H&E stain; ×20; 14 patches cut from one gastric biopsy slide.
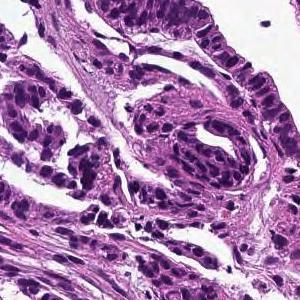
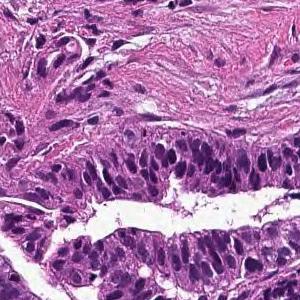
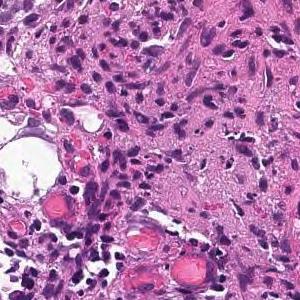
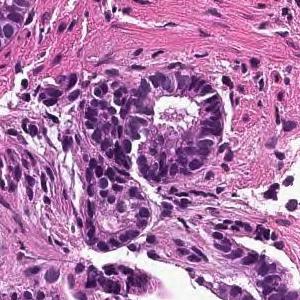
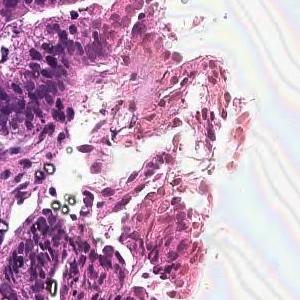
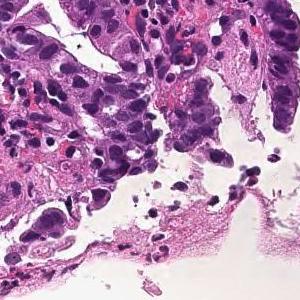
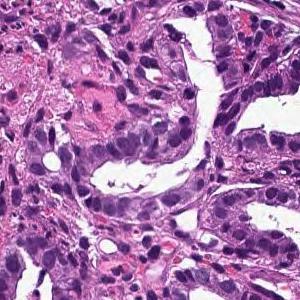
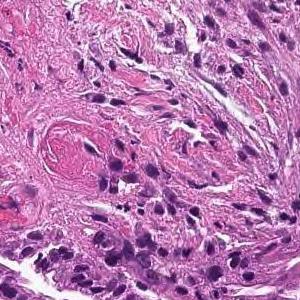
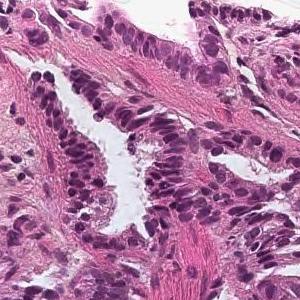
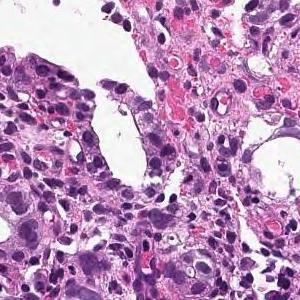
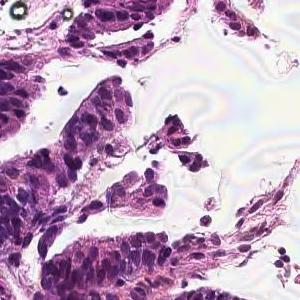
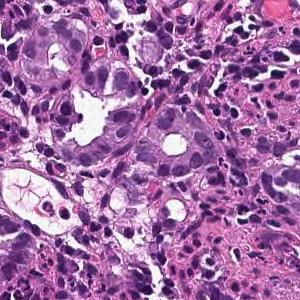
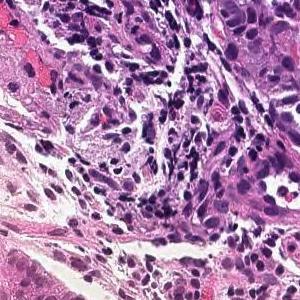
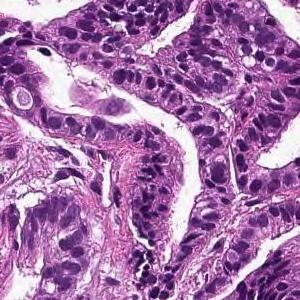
Diagnostic report for the slide these tiles come from. The report describes the whole slide, diagnosis included: not every finding it names need appear in these tiles, which may also show non-tumor tissue.
Tumor cells are large, highly columnar, large club-shaped nuclei, and are associated with chromatin aggregation. Papillary adenocarcinoma.
